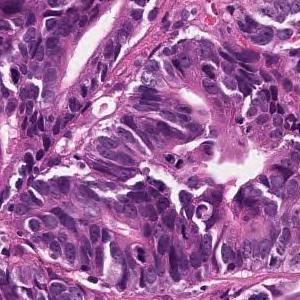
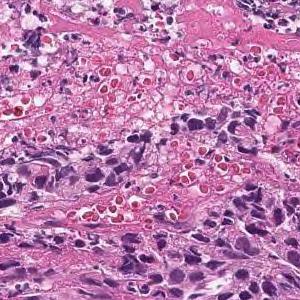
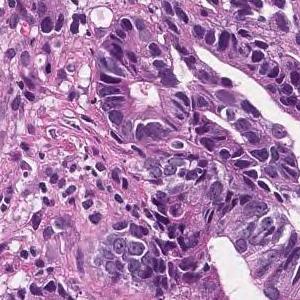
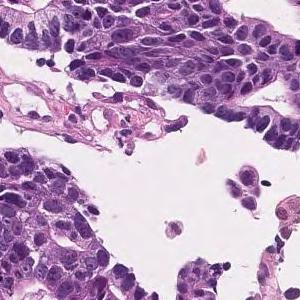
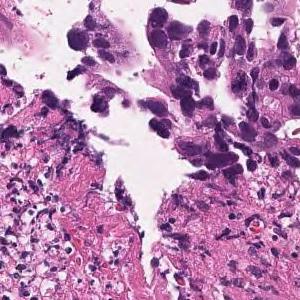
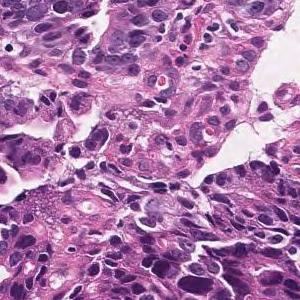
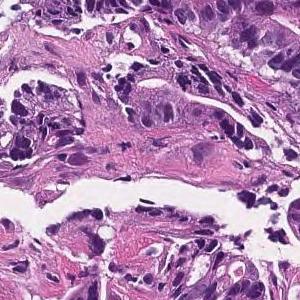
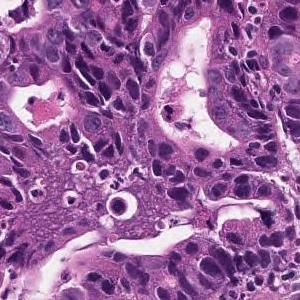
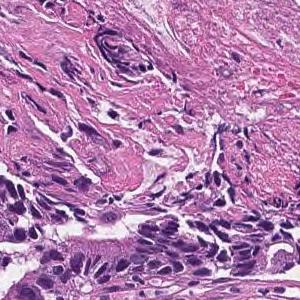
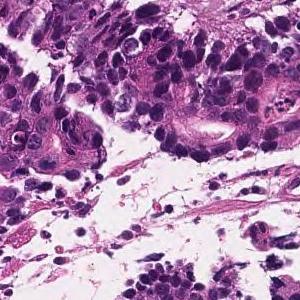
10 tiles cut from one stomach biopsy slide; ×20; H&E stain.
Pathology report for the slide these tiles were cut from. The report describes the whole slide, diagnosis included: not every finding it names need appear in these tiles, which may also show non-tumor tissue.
In the superficial epithelium, tumor tissue that invades by forming medium-sized to small, irregular ducts is observed. moderately differentiated tubular adenocarcinoma.
